6 tiles cut from one stomach biopsy slide; each 300 × 300 pixels; 20× magnification; H&E stain.
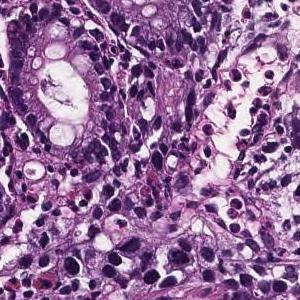
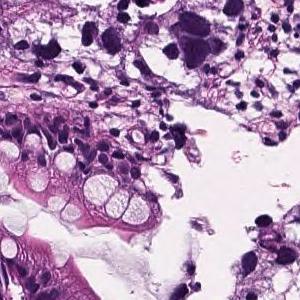
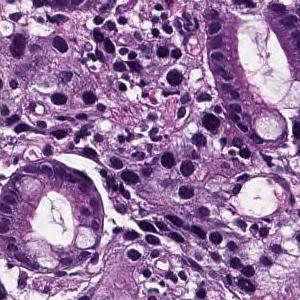
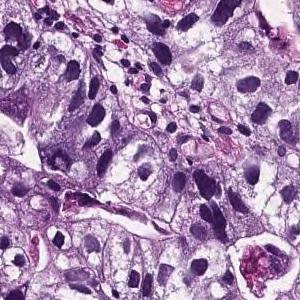
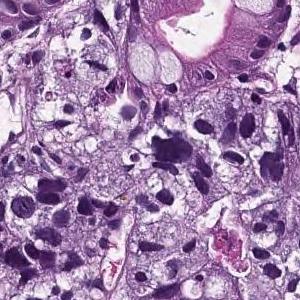
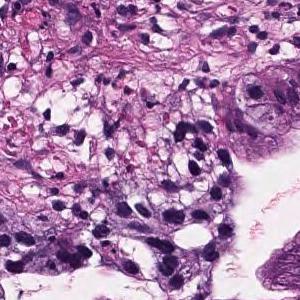
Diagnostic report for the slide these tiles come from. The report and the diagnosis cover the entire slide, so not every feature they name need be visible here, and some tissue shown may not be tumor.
In the superficial epithelium, medium to small irregular gland ducts are formed, and in some cases, the ducts are fused to show solid alveolar lesions and infiltrating tumor tissue is observed. Moderately to poorly differentiated adenocarcinoma
